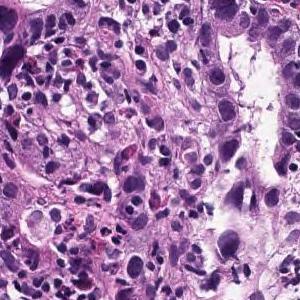
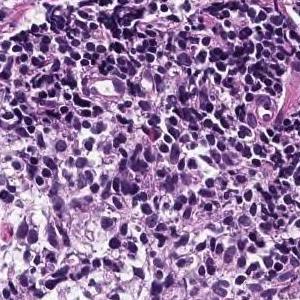
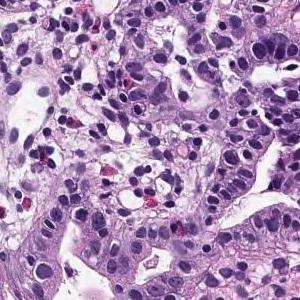
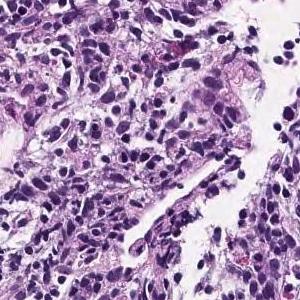
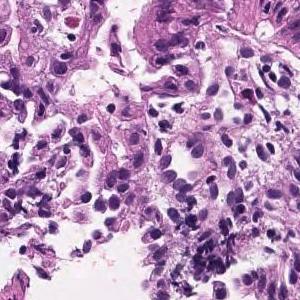
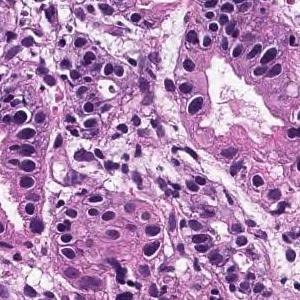
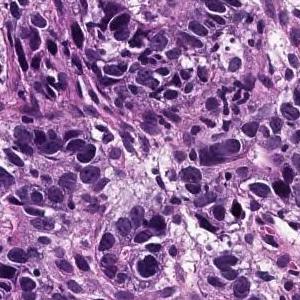
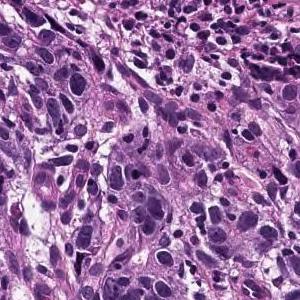
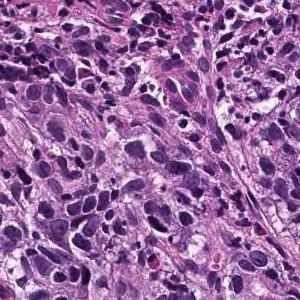
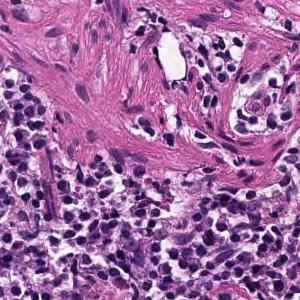
10 tiles from the same stomach biopsy slide; H&E stain; 20× magnification.
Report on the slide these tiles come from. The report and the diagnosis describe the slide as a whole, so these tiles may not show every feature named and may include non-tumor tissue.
Tumor tissue consisting of cord-like or small, irregular glandular ducts fused and infiltrated is observed in the superficial epithelium. Poorly differentiated adenocarcinoma, non-solid type
The non-solid type named here is a Japanese Classification of Gastric Carcinoma category.
